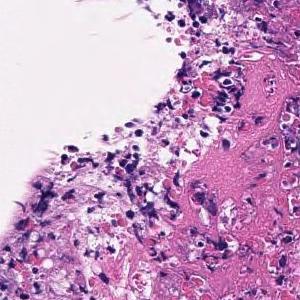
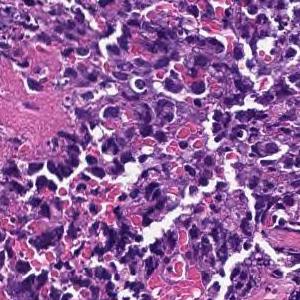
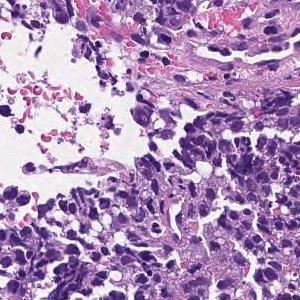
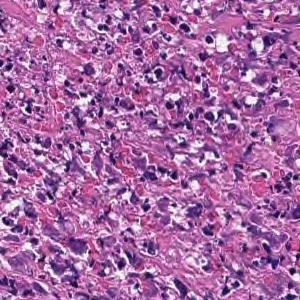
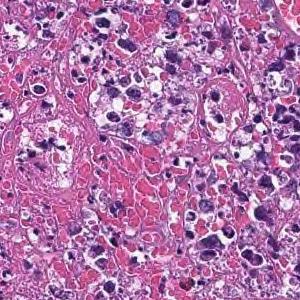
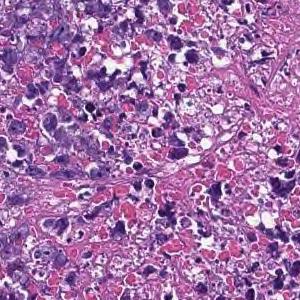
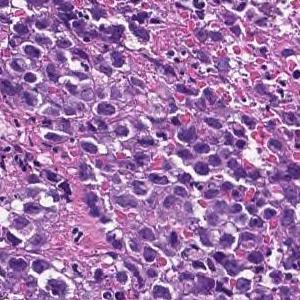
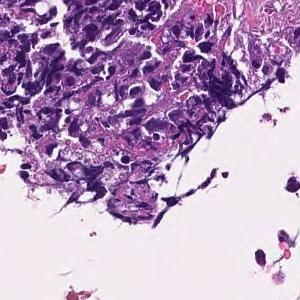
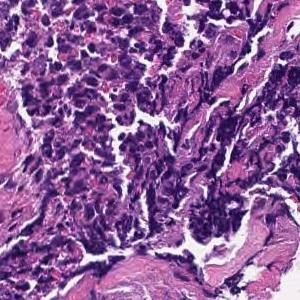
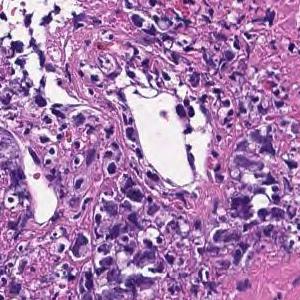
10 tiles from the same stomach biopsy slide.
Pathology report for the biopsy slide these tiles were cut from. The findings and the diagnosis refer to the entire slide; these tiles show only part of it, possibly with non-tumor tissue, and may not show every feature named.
Most are composed of coagulative necrotic tissue, but some show a large sheet-like shape, and some show tumor tissue infiltrating with a small cord-like structure. Poorly differentiated adenocarcinoma, solid-type
Histological subtype: Poorly differentiated adenocarcinoma, solid type, a category of the Japanese Classification of Gastric Carcinoma; in the WHO 2019 classification it is tubular adenocarcinoma, poorly differentiated.
